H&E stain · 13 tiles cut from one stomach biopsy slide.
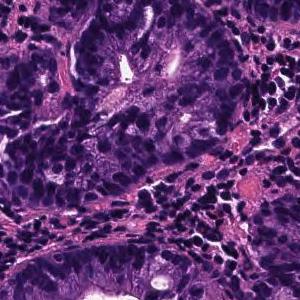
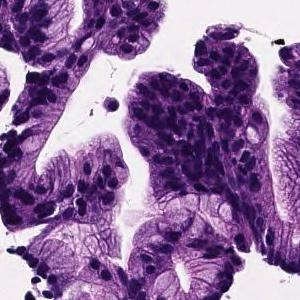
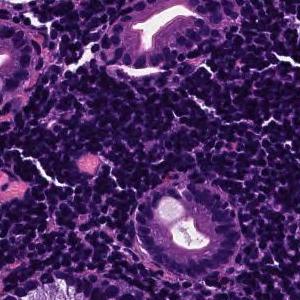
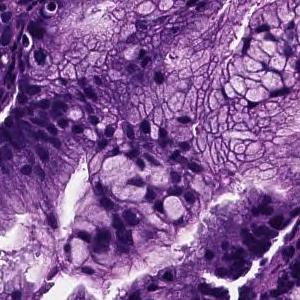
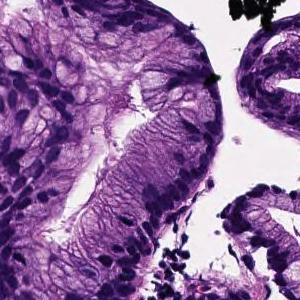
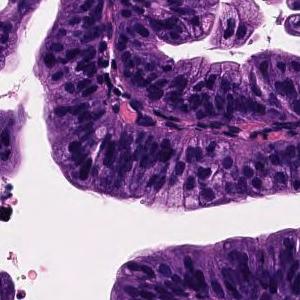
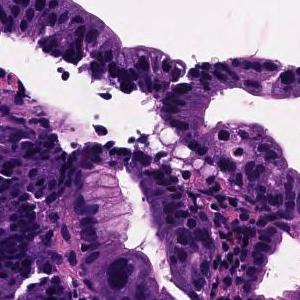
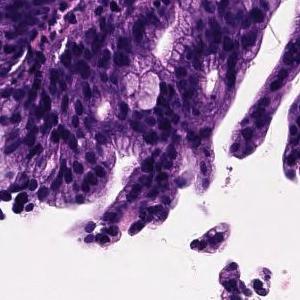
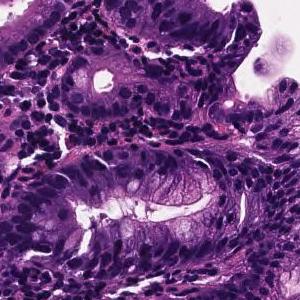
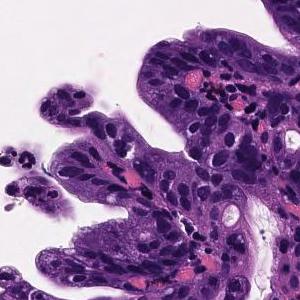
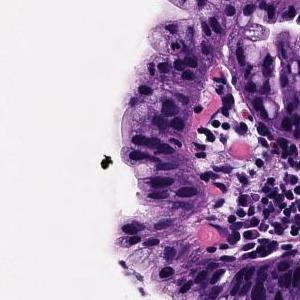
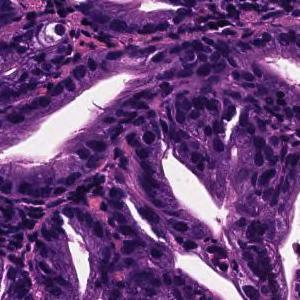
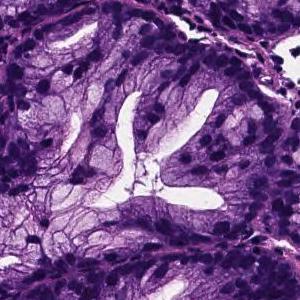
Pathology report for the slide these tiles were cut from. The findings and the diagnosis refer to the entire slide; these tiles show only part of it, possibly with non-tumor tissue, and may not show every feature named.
On the superficial epithelium, tumor tissue that infiltrates by forming medium-sized papillary or small irregular ducts is observed. Papillary adenocarcinoma
